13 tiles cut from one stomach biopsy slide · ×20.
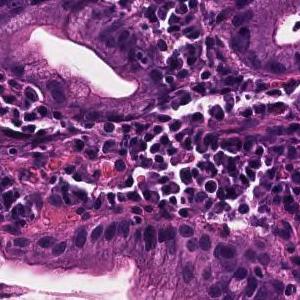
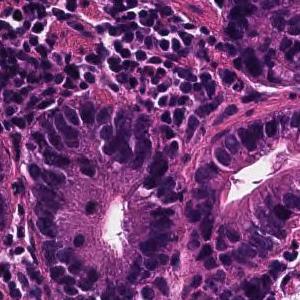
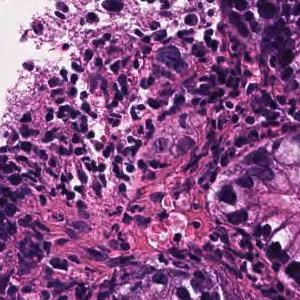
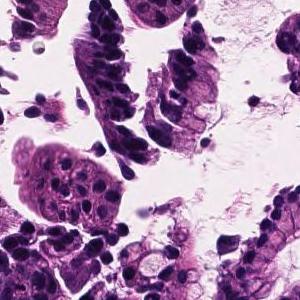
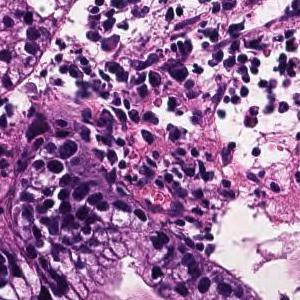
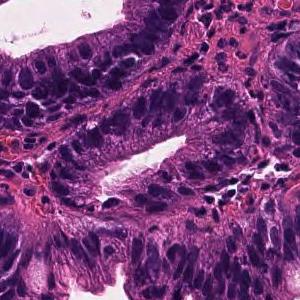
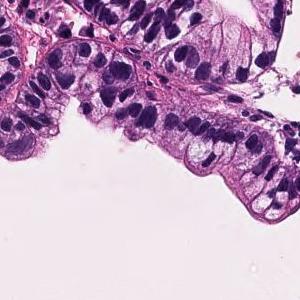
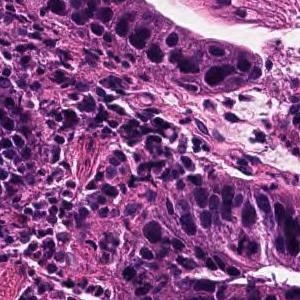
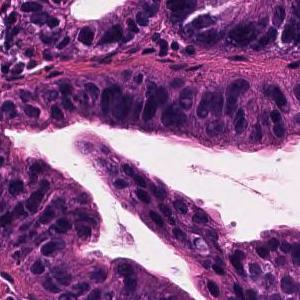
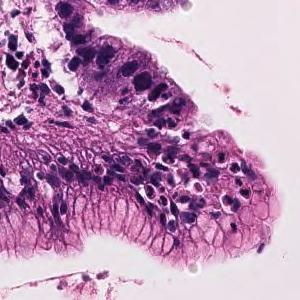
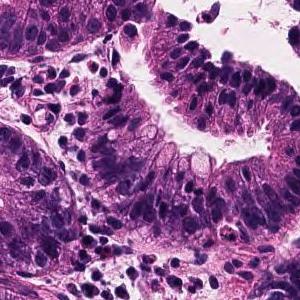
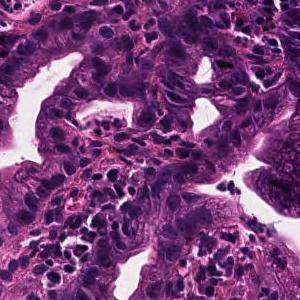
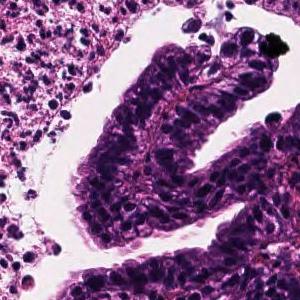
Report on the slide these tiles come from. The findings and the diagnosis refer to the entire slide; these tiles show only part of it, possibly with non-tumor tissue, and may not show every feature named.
Tumor cells are large, highly columnar, large club-shaped nuclei, and are associated with chromatin aggregation. Papillary adenocarcinoma.
